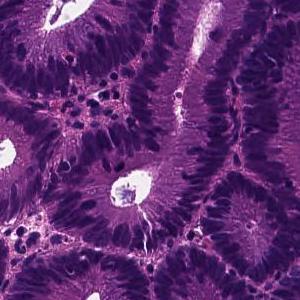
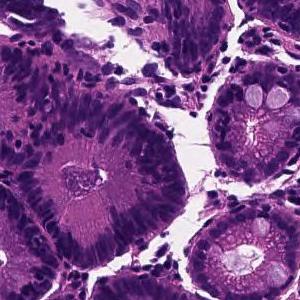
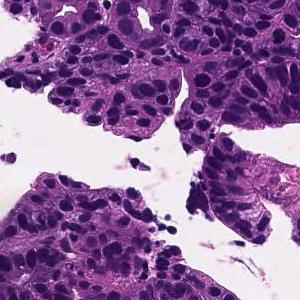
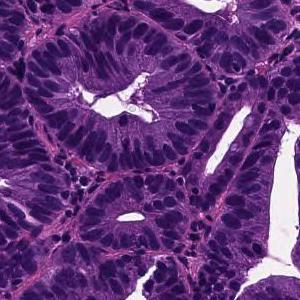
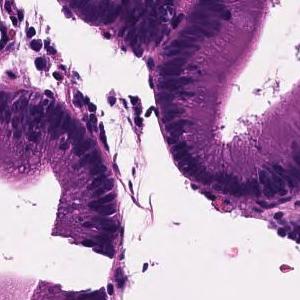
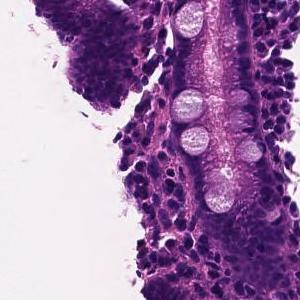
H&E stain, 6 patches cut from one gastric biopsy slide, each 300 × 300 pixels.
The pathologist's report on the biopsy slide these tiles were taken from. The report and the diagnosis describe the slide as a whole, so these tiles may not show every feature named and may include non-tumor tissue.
Tumor tissue in which medium to small irregular ducts infiltrate and proliferate in the submucosa can be seen in the epithelium. Well differentiated tubular adenocarcinoma
